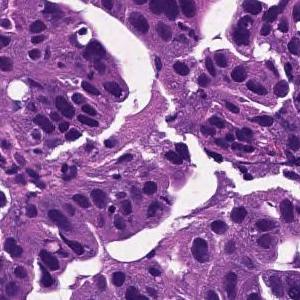
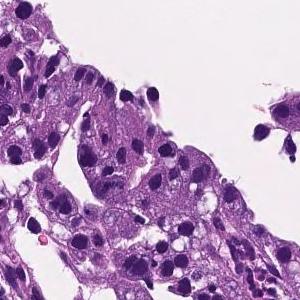
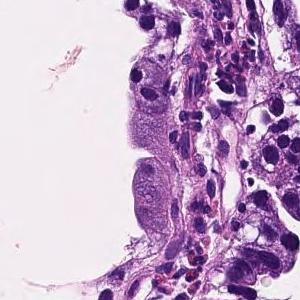
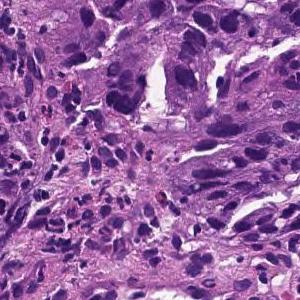
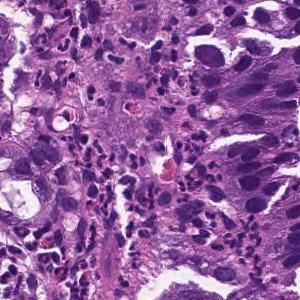
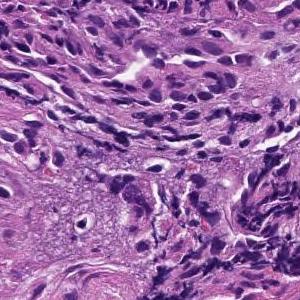
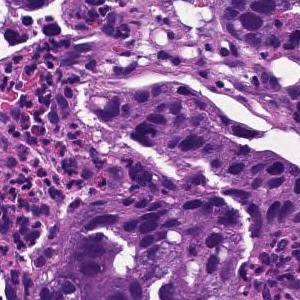
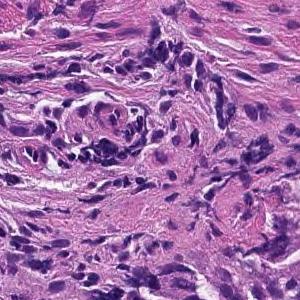
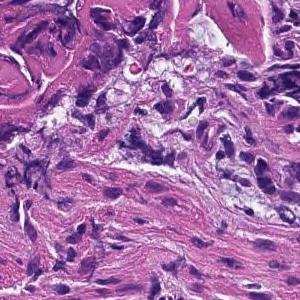
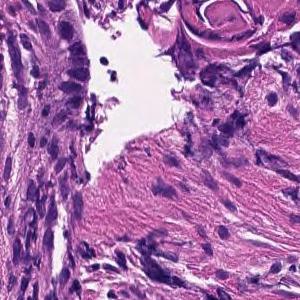
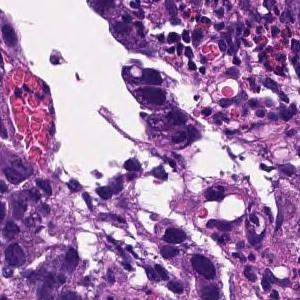
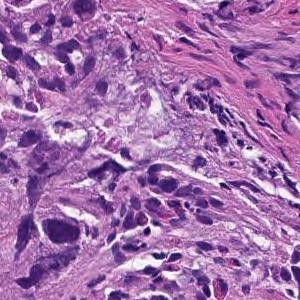
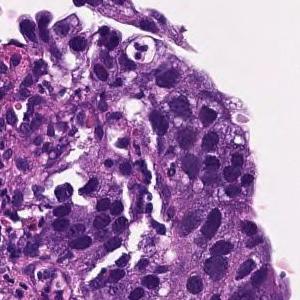
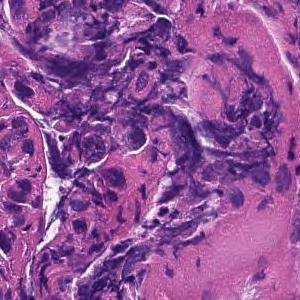
14 tiles cut from one stomach biopsy slide, each 300 × 300 pixels, ×20, H&E.
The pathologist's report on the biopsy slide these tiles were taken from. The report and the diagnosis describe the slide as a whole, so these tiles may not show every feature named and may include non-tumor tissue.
Tumor tissue consisting of large papillary structures is found in the superficial epithelium. Papillary adenocarcinoma.
